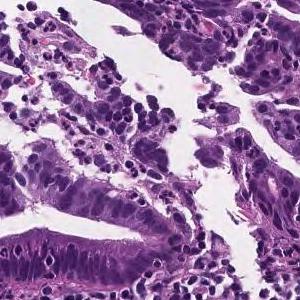
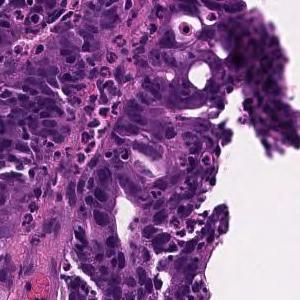
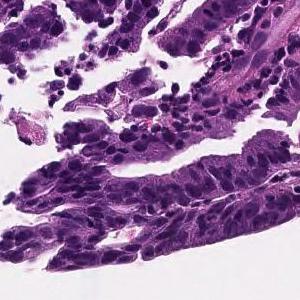
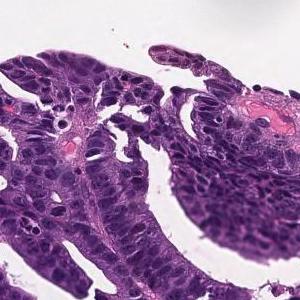
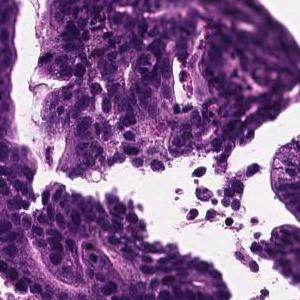
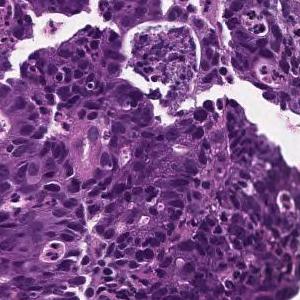
6 tiles cut from one stomach biopsy slide; each 300 × 300 pixels; scanned at ×20; H&E stain.
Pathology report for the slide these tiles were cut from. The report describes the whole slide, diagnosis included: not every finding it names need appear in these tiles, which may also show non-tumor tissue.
Tumor cells are large, highly columnar, large club-shaped nuclei, and are associated with chromatin aggregation. Papillary adenocarcinoma.
